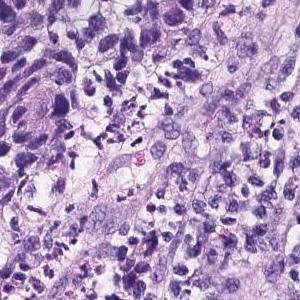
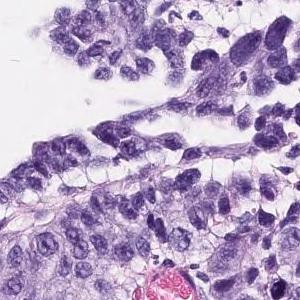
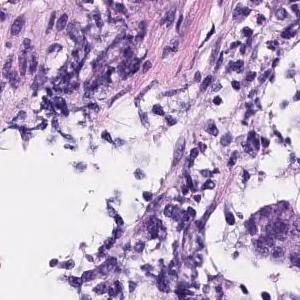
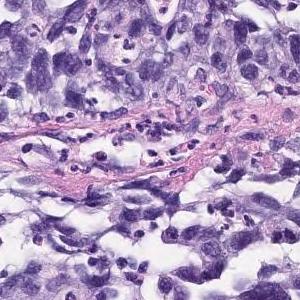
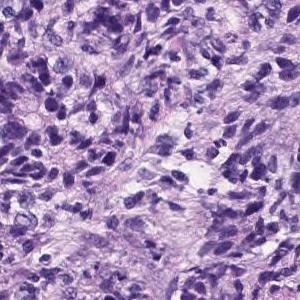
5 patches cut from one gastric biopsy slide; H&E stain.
Report on the slide these tiles come from. The report and the diagnosis cover the entire slide, so not every feature they name need be visible here, and some tissue shown may not be tumor.
The superficial epithelium shows a large sheet-like shape, and some tumor tissue infiltrates with small irregular ducts. Poorly differentiated adenocarcinoma, solid-type
Tumor subtype: poorly differentiated adenocarcinoma, solid type, a category of the Japanese Classification of Gastric Carcinoma; in the WHO 2019 classification it is tubular adenocarcinoma, poorly differentiated.
